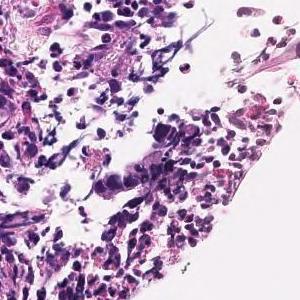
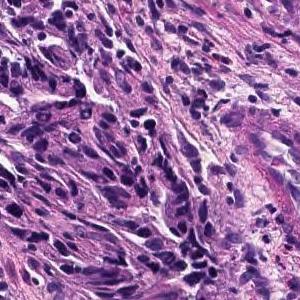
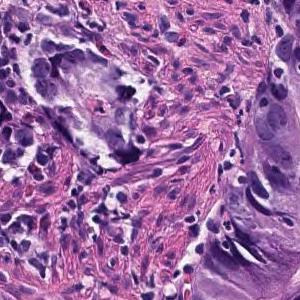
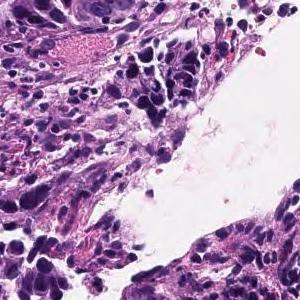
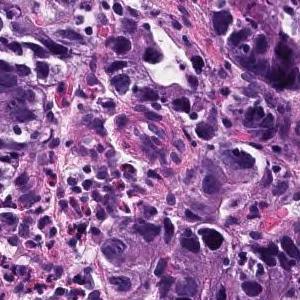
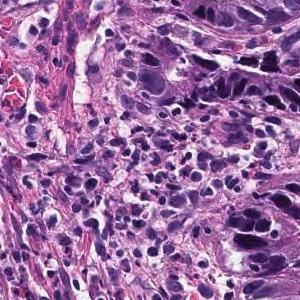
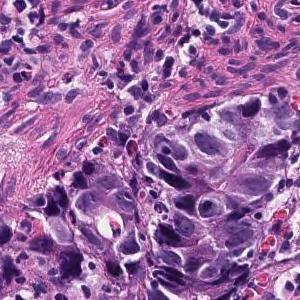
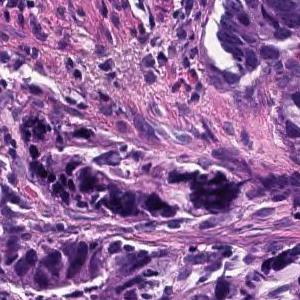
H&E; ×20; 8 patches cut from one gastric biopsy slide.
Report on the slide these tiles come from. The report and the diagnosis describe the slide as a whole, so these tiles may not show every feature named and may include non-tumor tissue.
In the superficial epithelium, tumor tissue that invades by forming medium-sized to small, irregular ducts is observed. Tumor cells are columnar or cuboidal in shape. Moderately differentiated adenocarcinoma.
Histological subtype: Moderately differentiated tubular adenocarcinoma.
